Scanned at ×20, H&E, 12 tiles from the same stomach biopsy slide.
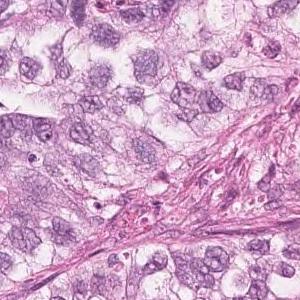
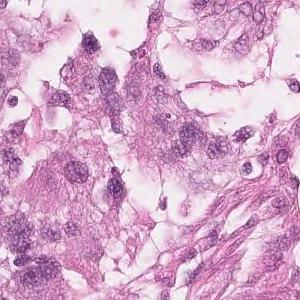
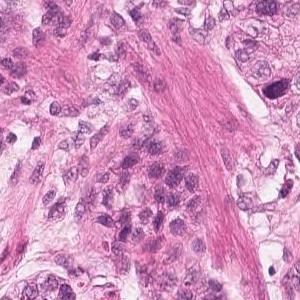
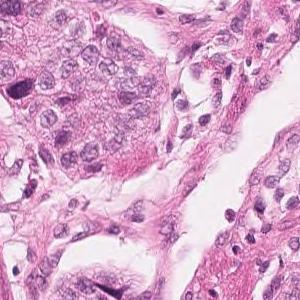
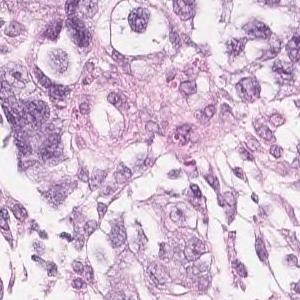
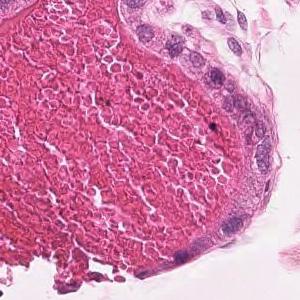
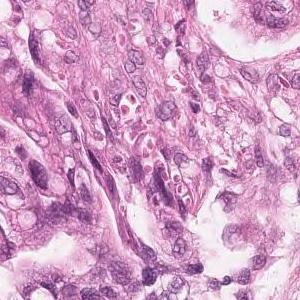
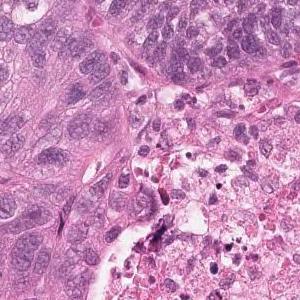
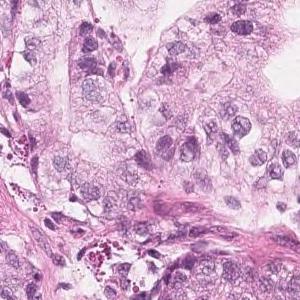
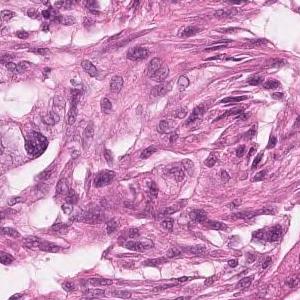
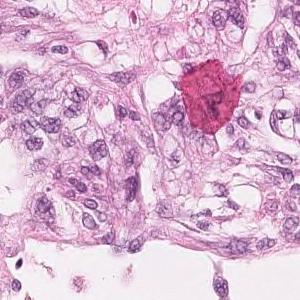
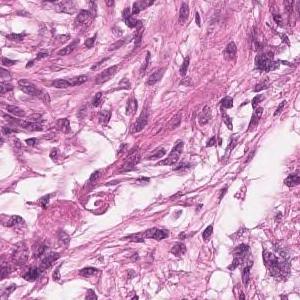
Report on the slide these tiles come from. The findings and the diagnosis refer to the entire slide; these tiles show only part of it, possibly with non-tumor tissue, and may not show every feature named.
Highly columnar epithelium with disordered nuclear localization proliferates showing fusion ductal construction. moderately differentiated tubular adenocarcinoma
